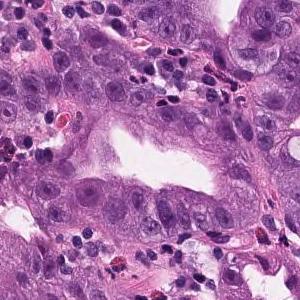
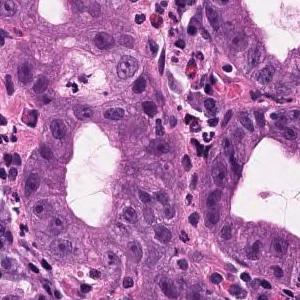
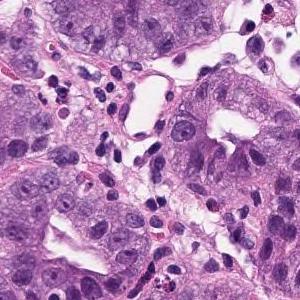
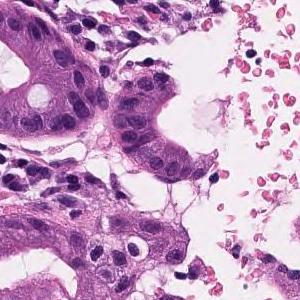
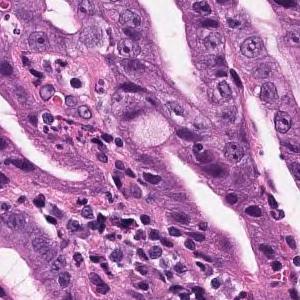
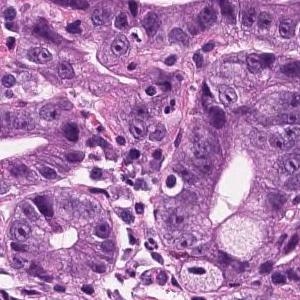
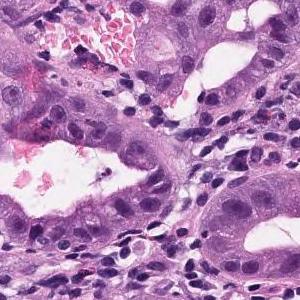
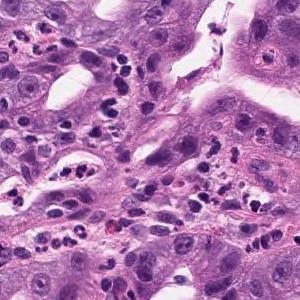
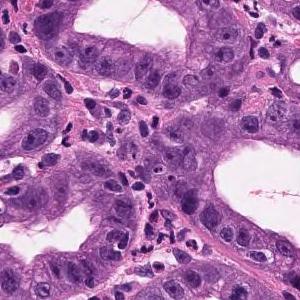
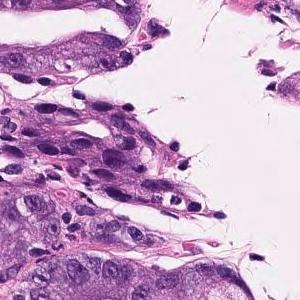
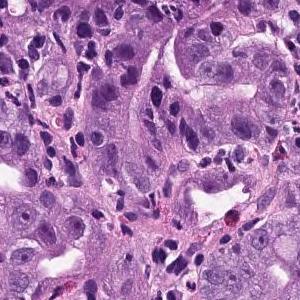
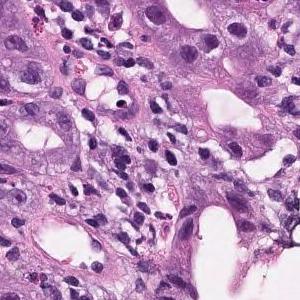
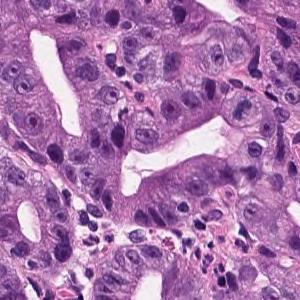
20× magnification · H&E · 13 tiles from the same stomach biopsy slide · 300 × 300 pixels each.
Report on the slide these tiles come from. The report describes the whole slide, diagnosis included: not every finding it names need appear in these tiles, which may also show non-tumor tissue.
In the superficial epithelium, tumor tissue that invades by forming medium-sized to small, irregular ducts is observed. Well to moderately differentiated adenocarcinoma (well differentiated tubular adenocarcinoma, moderately differentiated tubular adenocarcinoma).
Histological subtype: Well to moderately differentiated tubular adenocarcinoma.
